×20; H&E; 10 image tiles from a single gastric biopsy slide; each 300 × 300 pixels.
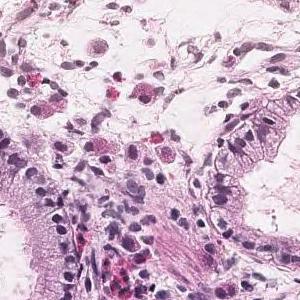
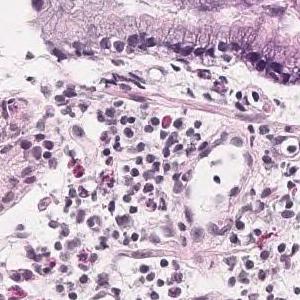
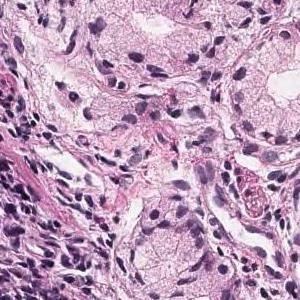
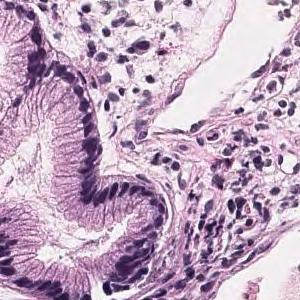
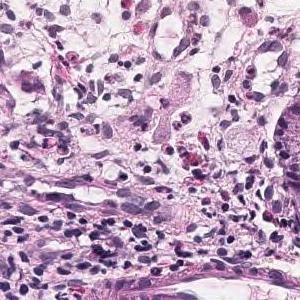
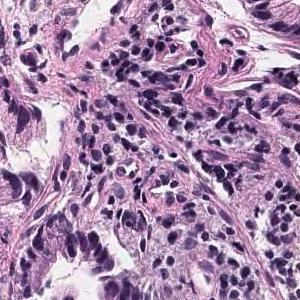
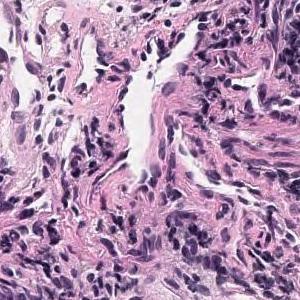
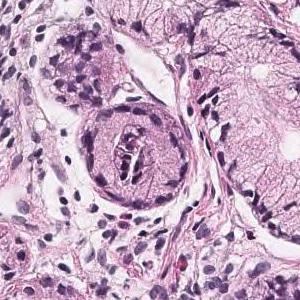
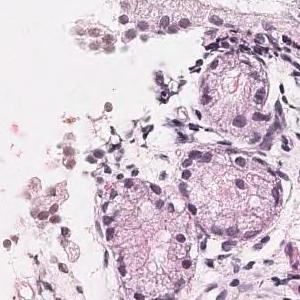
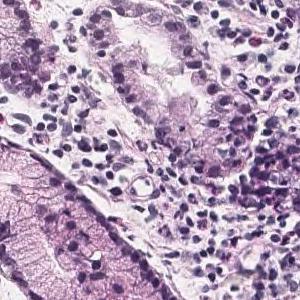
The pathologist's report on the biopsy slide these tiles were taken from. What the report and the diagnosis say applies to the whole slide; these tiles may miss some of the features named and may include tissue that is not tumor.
Tumor tissue is observed in which atypical epithelial cells with mucus in the vesicles proliferate while being isolated. Signet ring cell carcinoma
